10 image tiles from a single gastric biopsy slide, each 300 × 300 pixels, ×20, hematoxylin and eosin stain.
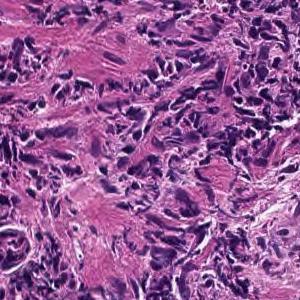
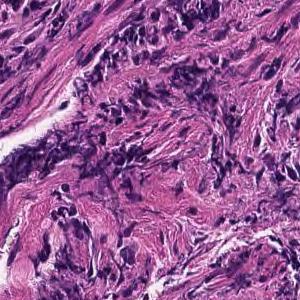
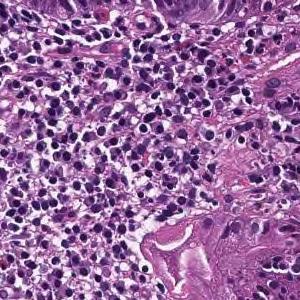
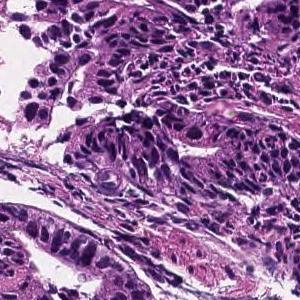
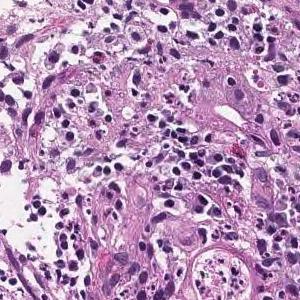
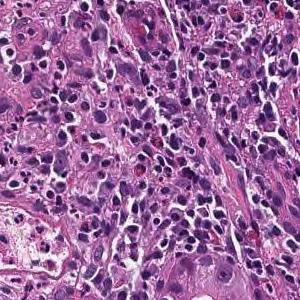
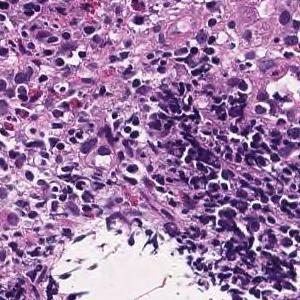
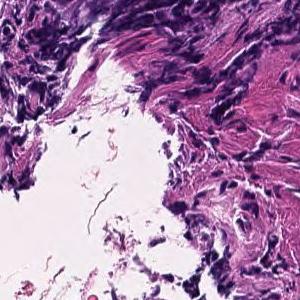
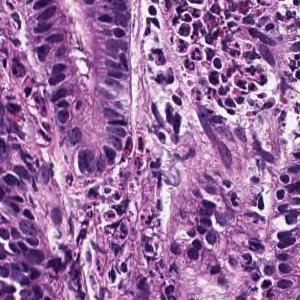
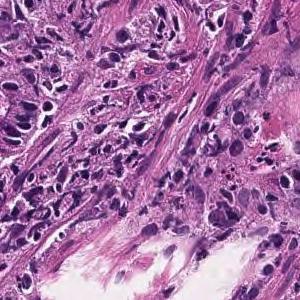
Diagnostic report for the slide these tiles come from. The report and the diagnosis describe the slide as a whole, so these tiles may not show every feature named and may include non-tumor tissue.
On the superficial epithelium, tumor tissue consisting of large, irregular glandular ducts partially fused and infiltrated is observed. Well to moderately differentiated tubular adenocarcinoma (well differentiated tubular adenocarcinoma, moderately differentiated tubular adenocarcinoma)
Tumor subtype: well to moderately differentiated tubular adenocarcinoma.
